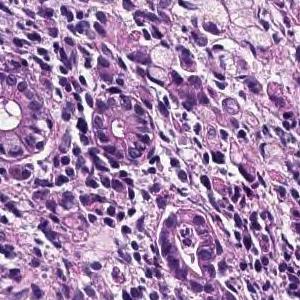
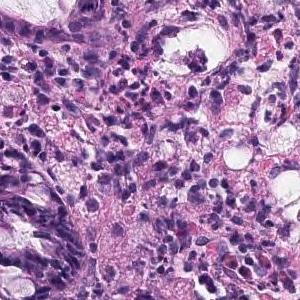
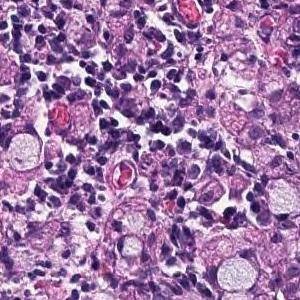
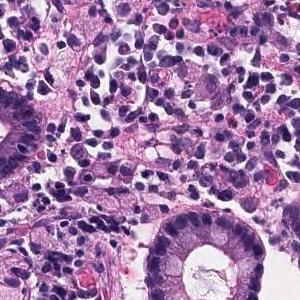
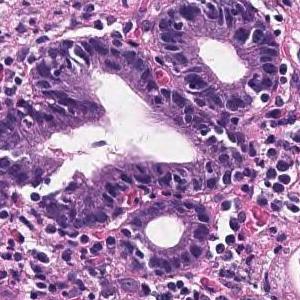
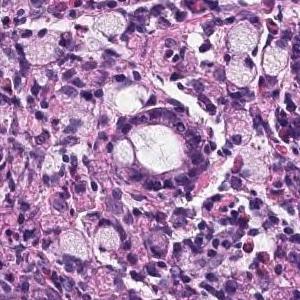
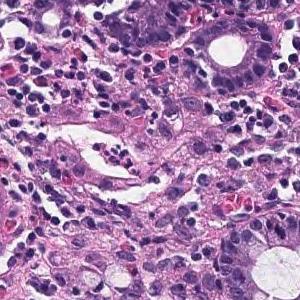
7 tiles cut from one stomach biopsy slide; 300×300 px each; H&E stain; scanned at ×20.
Report on the slide these tiles come from. What the report and the diagnosis say applies to the whole slide; these tiles may miss some of the features named and may include tissue that is not tumor.
A tumor tissue consisting of signet ring cell carcinoma cells is observed in the lamina propria. Signet ring cell carcinoma.
